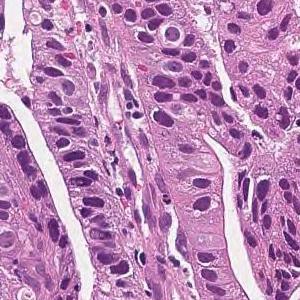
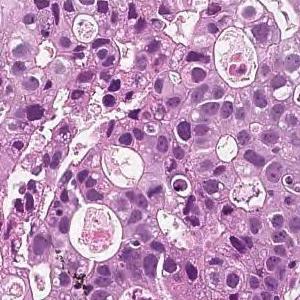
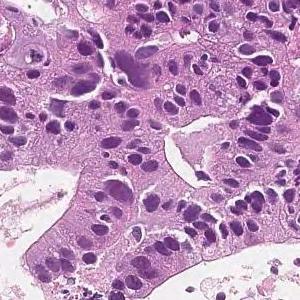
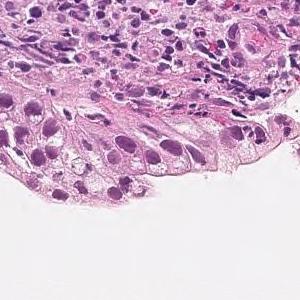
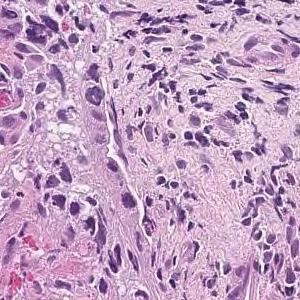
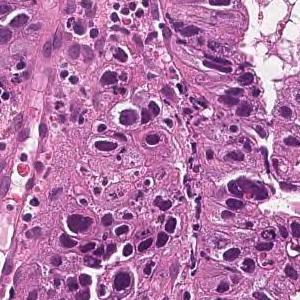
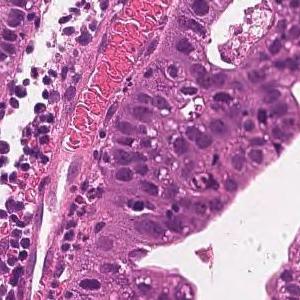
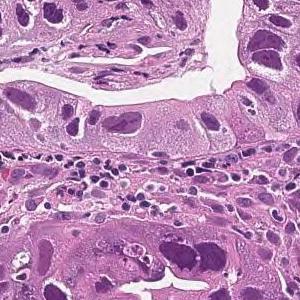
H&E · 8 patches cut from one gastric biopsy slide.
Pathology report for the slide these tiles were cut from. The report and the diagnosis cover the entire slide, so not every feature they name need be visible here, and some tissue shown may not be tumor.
In the superficial epithelium, tumor tissue that invades by forming medium-sized to small, irregular ducts is observed. moderately differentiated tubular adenocarcinoma.
